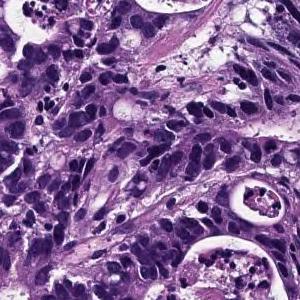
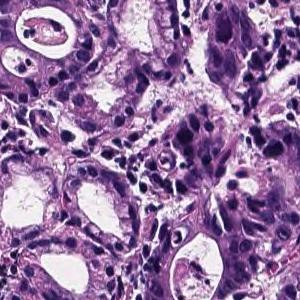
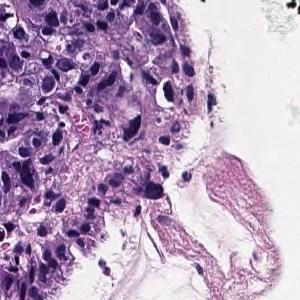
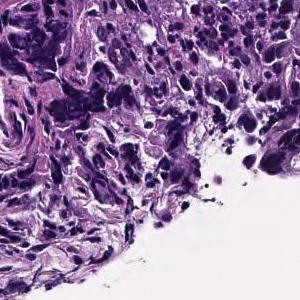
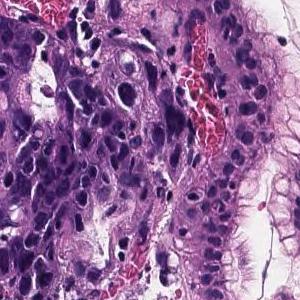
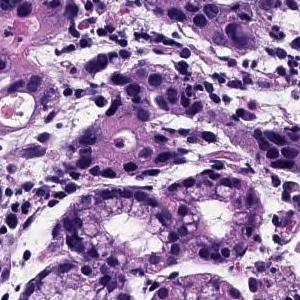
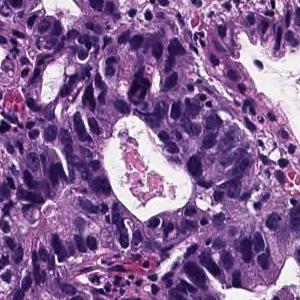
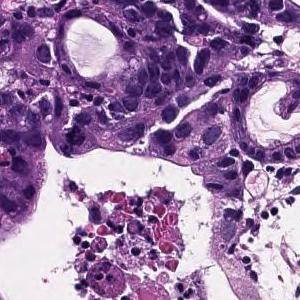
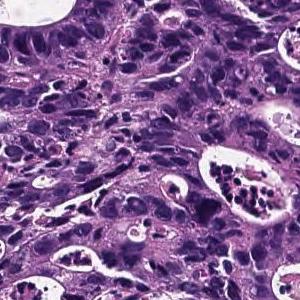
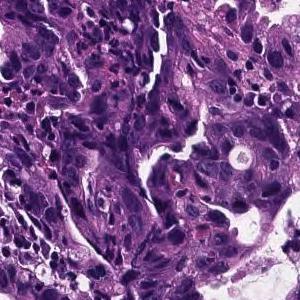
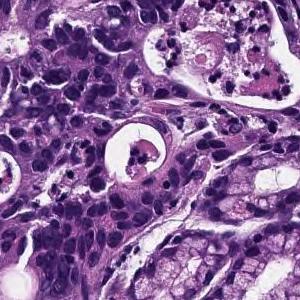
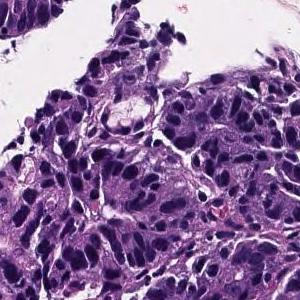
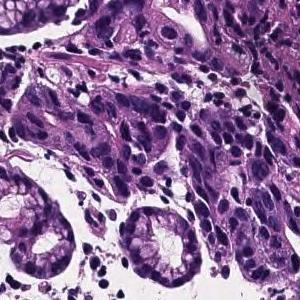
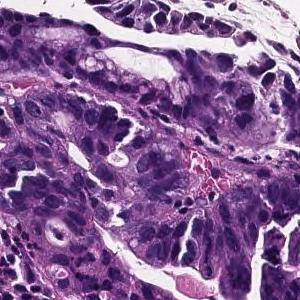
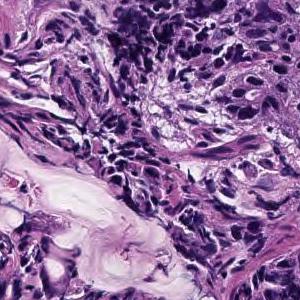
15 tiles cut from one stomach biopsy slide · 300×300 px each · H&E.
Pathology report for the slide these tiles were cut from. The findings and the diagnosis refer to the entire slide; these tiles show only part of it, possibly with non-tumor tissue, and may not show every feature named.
In the superficial epithelium, tumor tissue that invades by forming medium-sized to small, irregular ducts is observed. moderately differentiated tubular adenocarcinoma.
